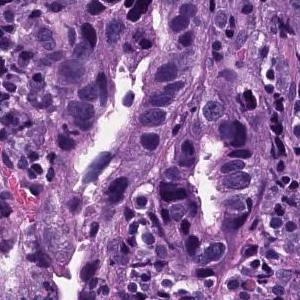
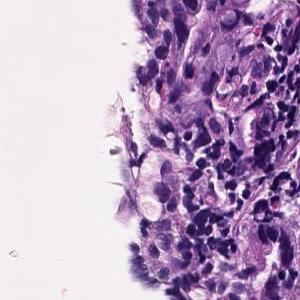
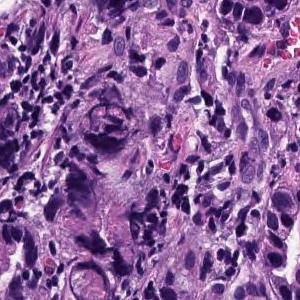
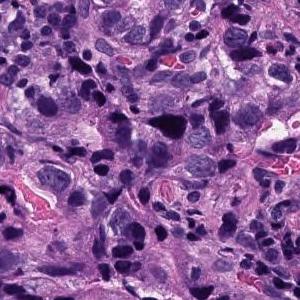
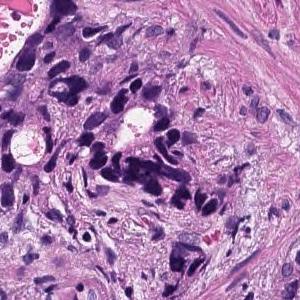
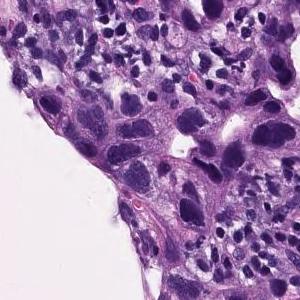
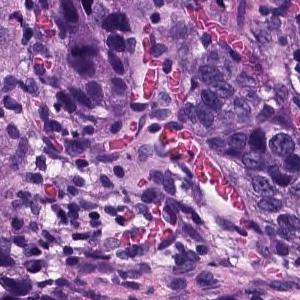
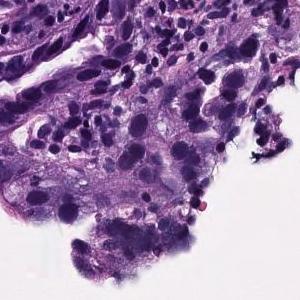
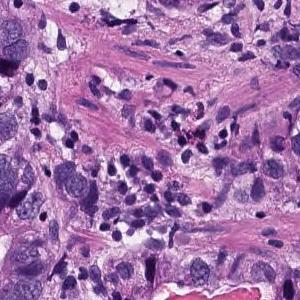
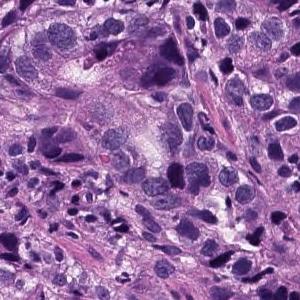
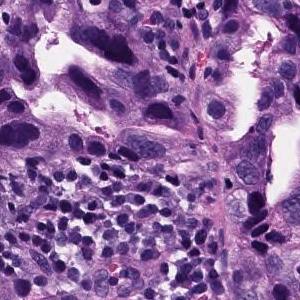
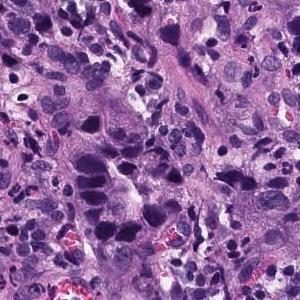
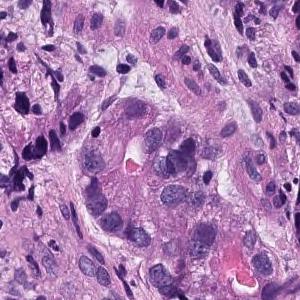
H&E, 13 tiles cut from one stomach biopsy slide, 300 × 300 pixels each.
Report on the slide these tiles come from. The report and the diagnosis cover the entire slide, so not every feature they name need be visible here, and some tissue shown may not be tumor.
In the epithelium, tumor tissue in which medium to small irregular gland ducts fuse with each other and infiltrate the submucosa. moderately differentiated tubular adenocarcinoma
